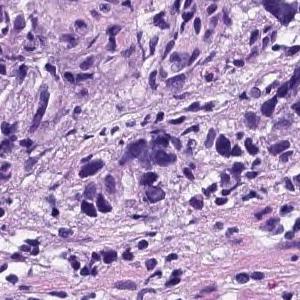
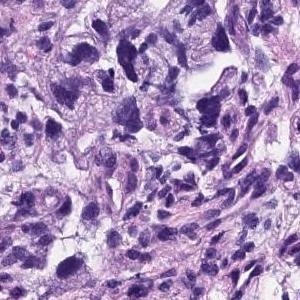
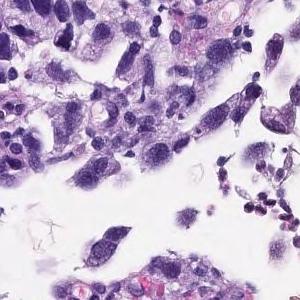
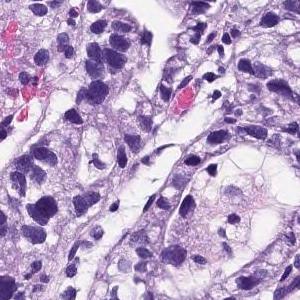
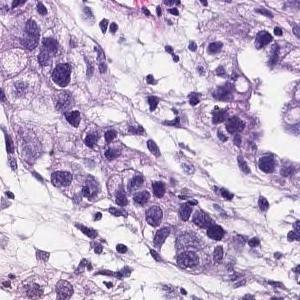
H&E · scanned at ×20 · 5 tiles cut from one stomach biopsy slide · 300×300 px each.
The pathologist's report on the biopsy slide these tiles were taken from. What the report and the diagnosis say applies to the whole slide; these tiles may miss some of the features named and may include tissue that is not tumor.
Medium to small, irregular glandular ducts are formed in the superficial epithelium, and in some cases, the glandular ducts are fused to show solid alveolar lesions and infiltrating tumor tissue is observed. Poorly differentiated adenocarcinoma, Moderately differentiated adenocarcinoma.
The dataset labels this slide moderately differentiated tubular adenocarcinoma.
